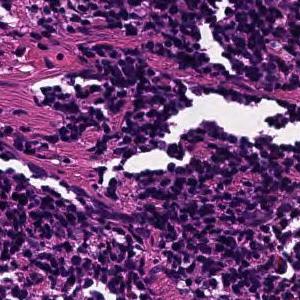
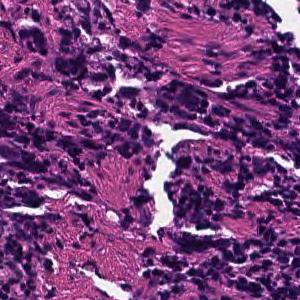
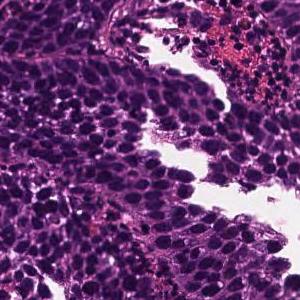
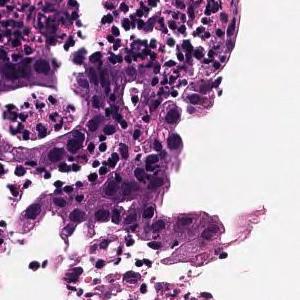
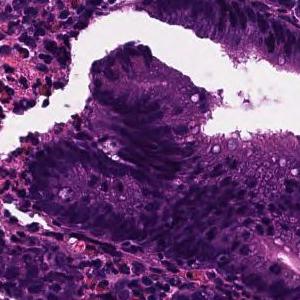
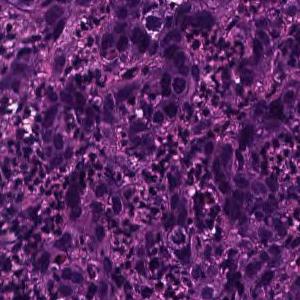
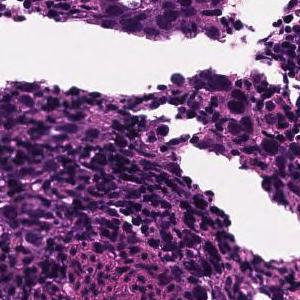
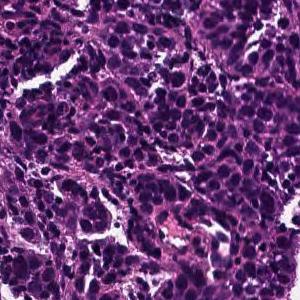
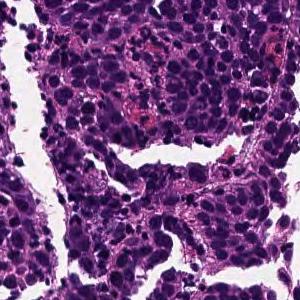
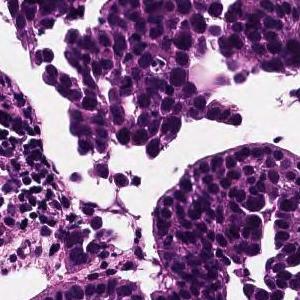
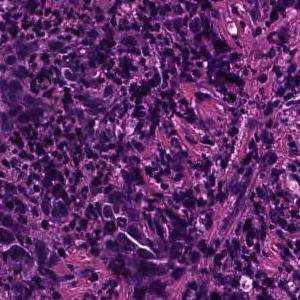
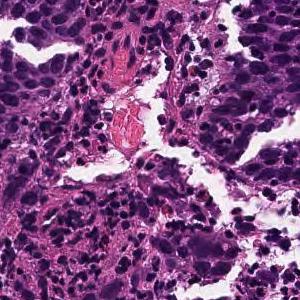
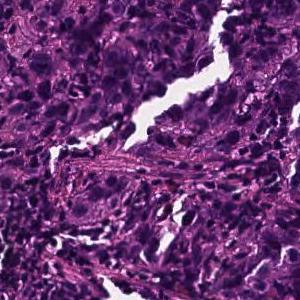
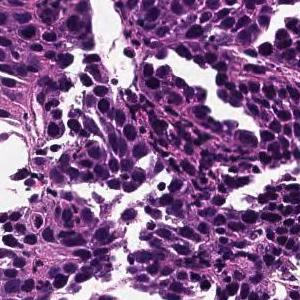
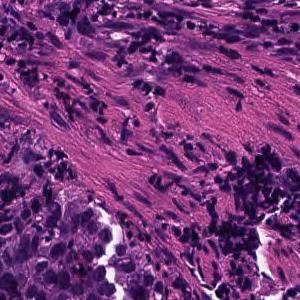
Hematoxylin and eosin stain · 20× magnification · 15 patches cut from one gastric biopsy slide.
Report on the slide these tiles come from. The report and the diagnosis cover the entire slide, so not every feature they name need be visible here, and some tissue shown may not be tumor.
Tumor tissue consisting of cord-like or small, irregular glandular ducts fused and infiltrated is observed in the superficial epithelium. Poorly differentiated adenocarcinoma, non-solid type
The term "non-solid type" comes from the Japanese Classification of Gastric Carcinoma.
